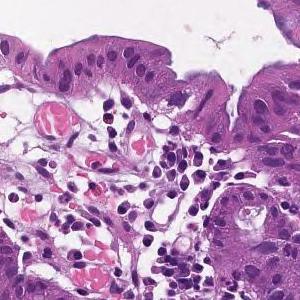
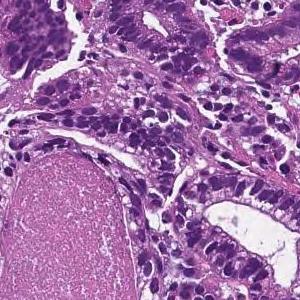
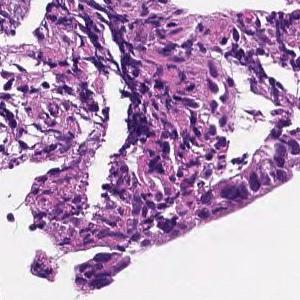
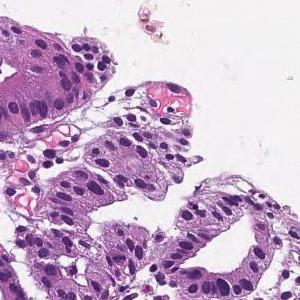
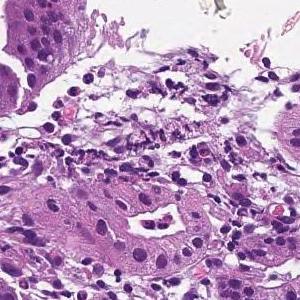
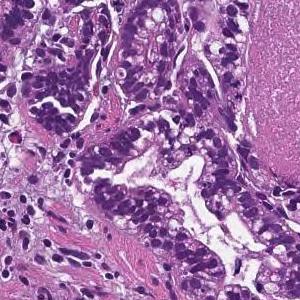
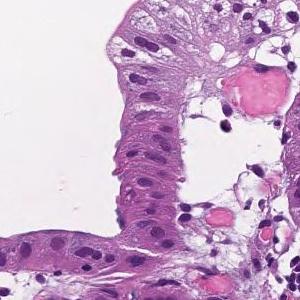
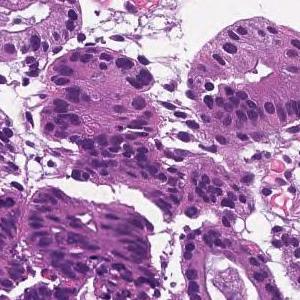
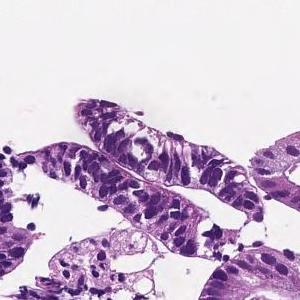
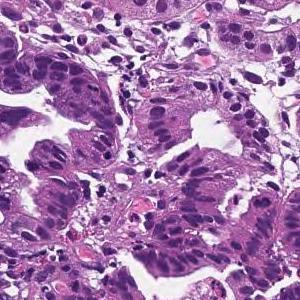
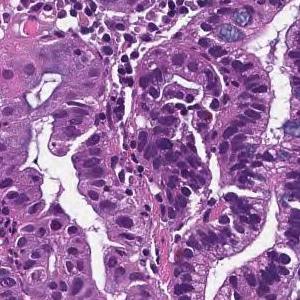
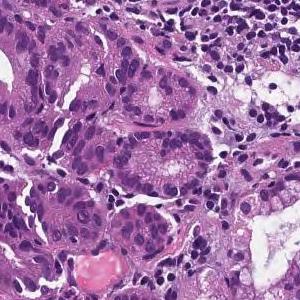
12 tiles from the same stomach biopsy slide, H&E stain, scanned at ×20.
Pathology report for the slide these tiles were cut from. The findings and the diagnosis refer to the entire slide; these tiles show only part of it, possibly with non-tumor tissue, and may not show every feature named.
From the superficial epithelium to the muscularis mucosae, tumor tissue consisting of medium-sized and irregular glandular ducts infiltrating is observed. Well differentiated tubular adenocarcinoma
